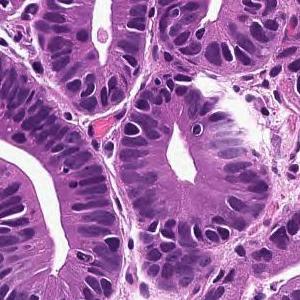
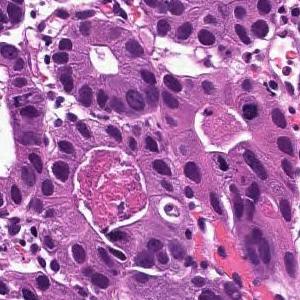
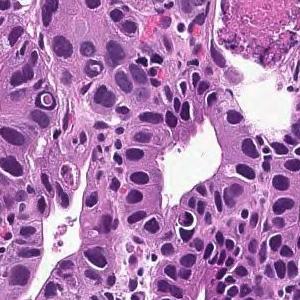
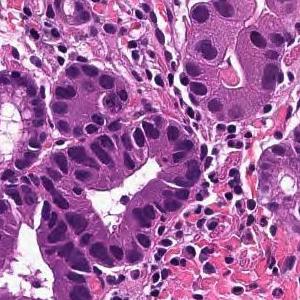
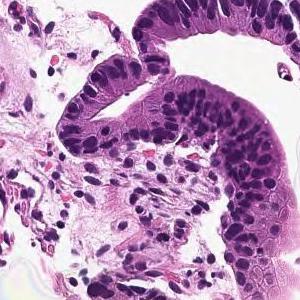
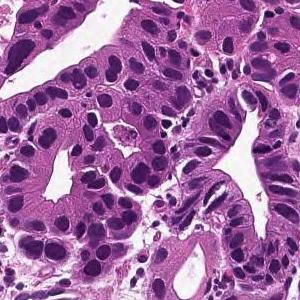
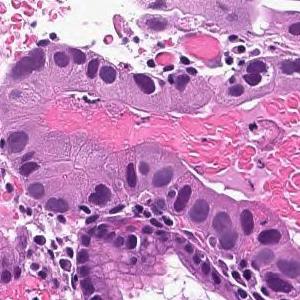
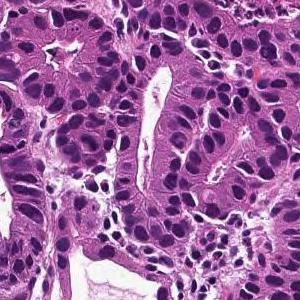
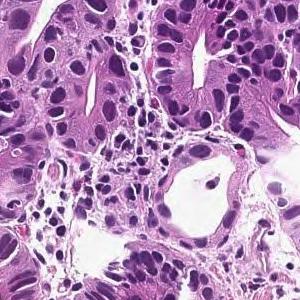
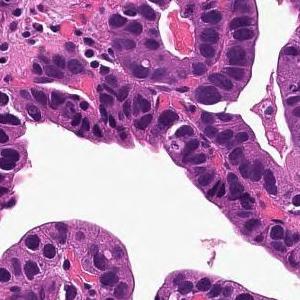
10 tiles from the same stomach biopsy slide · 300×300 px each.
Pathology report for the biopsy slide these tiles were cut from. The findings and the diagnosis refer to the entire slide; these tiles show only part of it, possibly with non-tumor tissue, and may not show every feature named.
From the superficial epithelium to the muscularis mucosae, tumor tissue consisting of medium-sized and irregular glandular ducts infiltrating is observed. Well differentiated tubular adenocarcinoma
